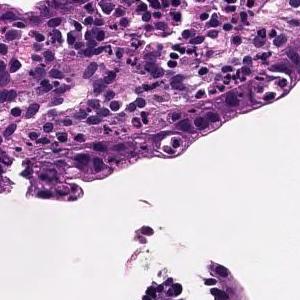
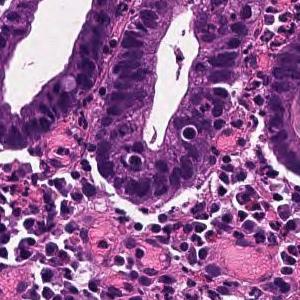
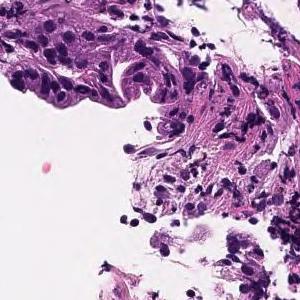
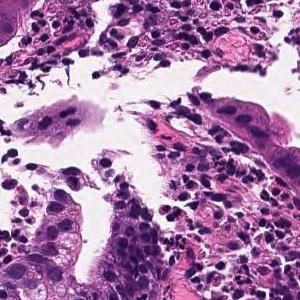
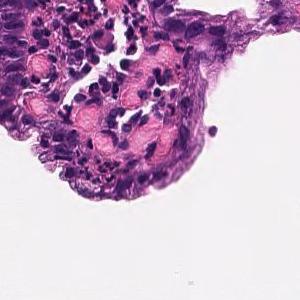
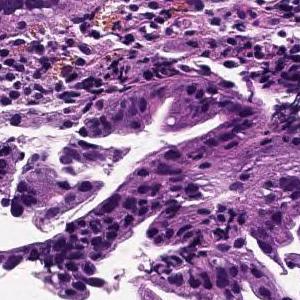
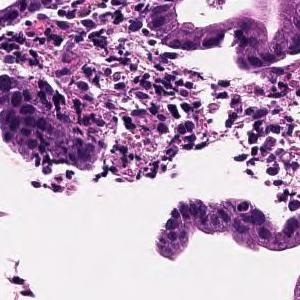
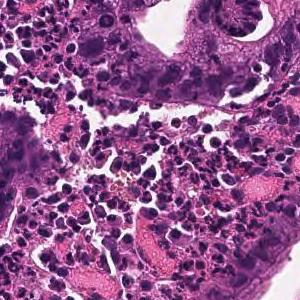
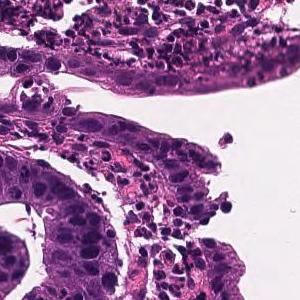
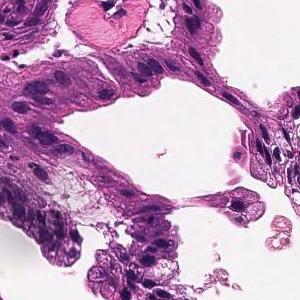
10 patches cut from one gastric biopsy slide.
Diagnostic report for the slide these tiles come from. What the report and the diagnosis say applies to the whole slide; these tiles may miss some of the features named and may include tissue that is not tumor.
From the superficial epithelium to the muscularis mucosae, tumor tissue consisting of medium-sized and irregular glandular ducts infiltrating is observed. Well differentiated tubular adenocarcinoma
